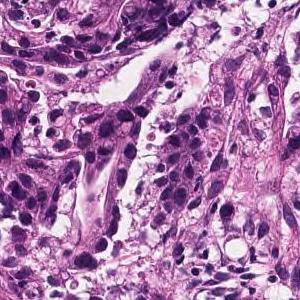
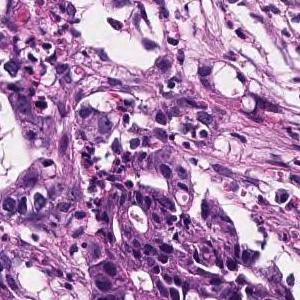
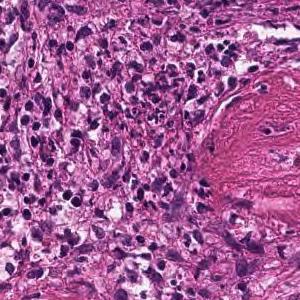
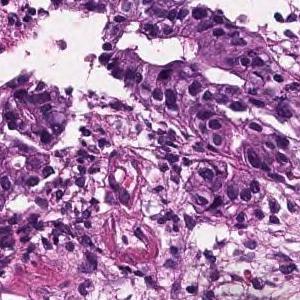
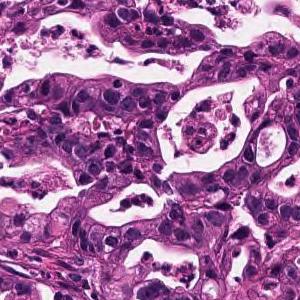
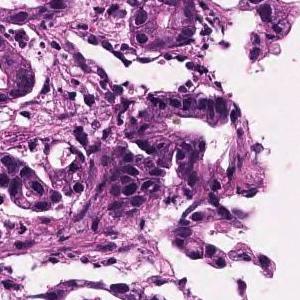
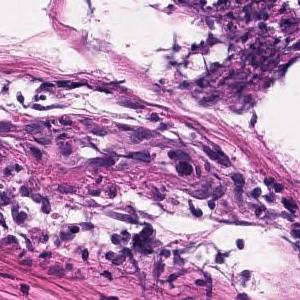
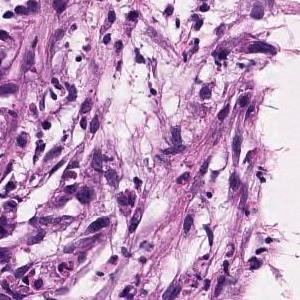
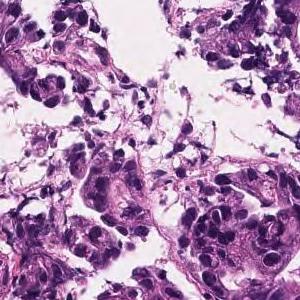
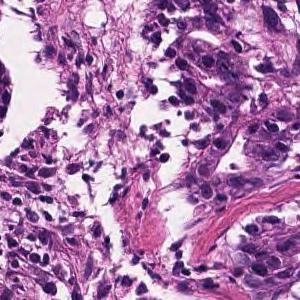
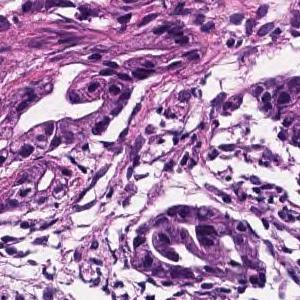
Hematoxylin and eosin stain · 11 image tiles from a single gastric biopsy slide.
The pathologist's report on the biopsy slide these tiles were taken from. The findings and the diagnosis refer to the entire slide; these tiles show only part of it, possibly with non-tumor tissue, and may not show every feature named.
In the superficial epithelium, medium to small, irregular gland ducts are formed, and in some cases, the gland ducts are fused to show solid alveolar lesions and infiltrating tumor tissue is observed. Moderately to poorly differentiated adenocarcinoma.
